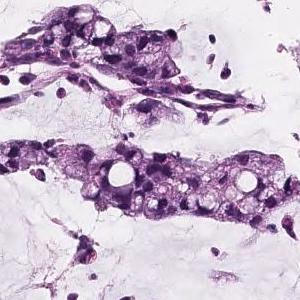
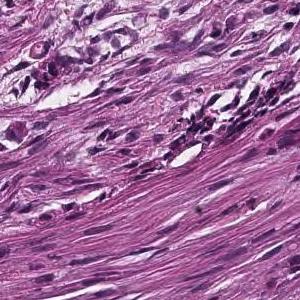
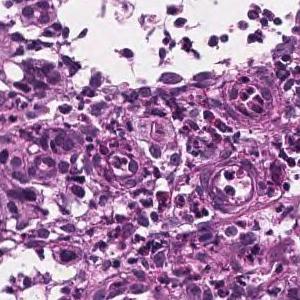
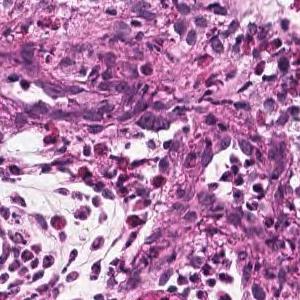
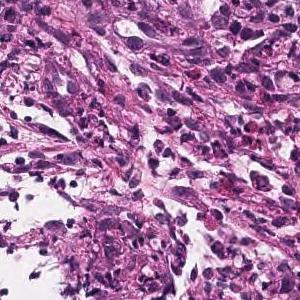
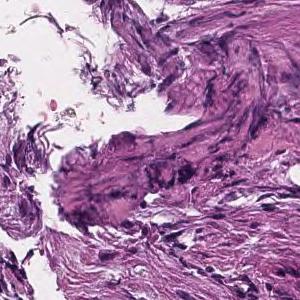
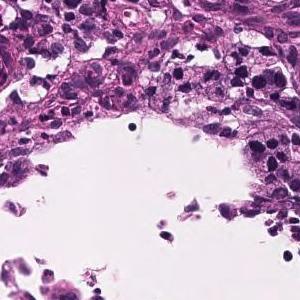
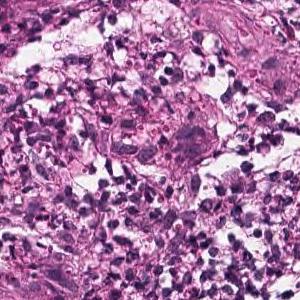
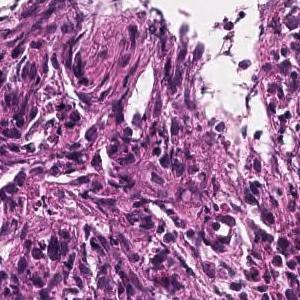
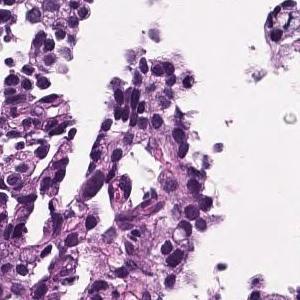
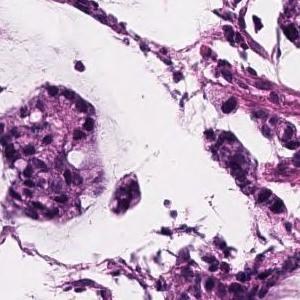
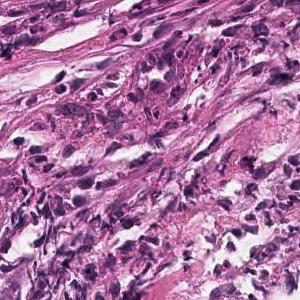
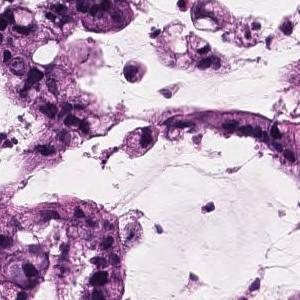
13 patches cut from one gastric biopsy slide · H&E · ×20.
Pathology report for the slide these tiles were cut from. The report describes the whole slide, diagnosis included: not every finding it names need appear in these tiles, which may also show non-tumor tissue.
Atypical epithelial cells form obscure ductal structures or small solid follicles, and tumor tissue that proliferates invasively with proliferation of inflammatory granulation tissue is observed. Mucinous adenocarcinoma .
